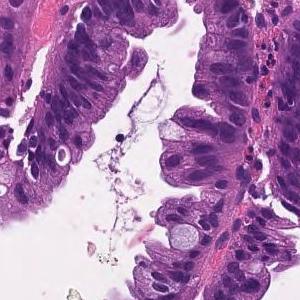
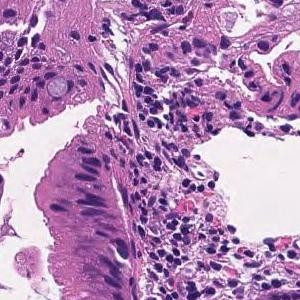
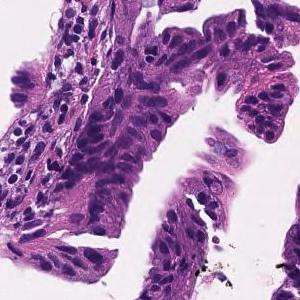
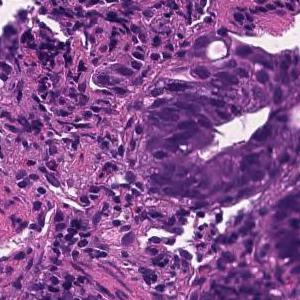
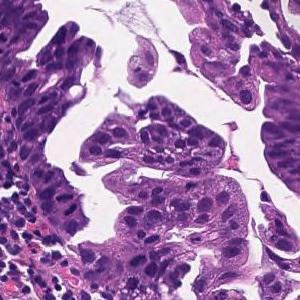
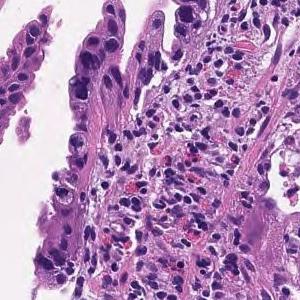
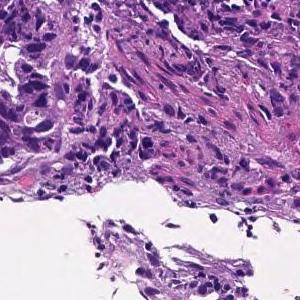
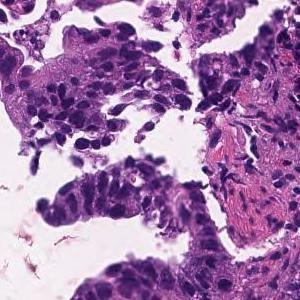
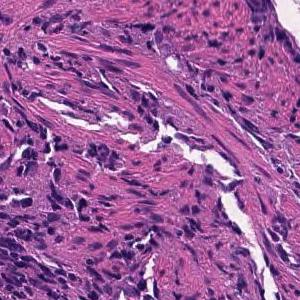
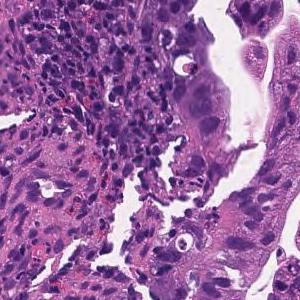
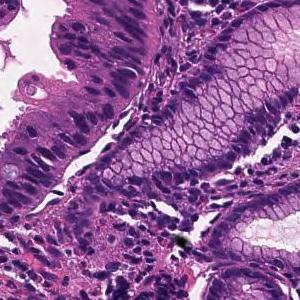
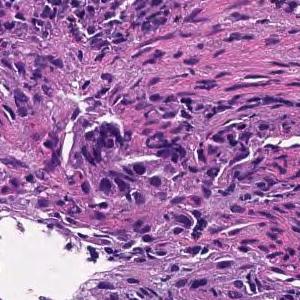
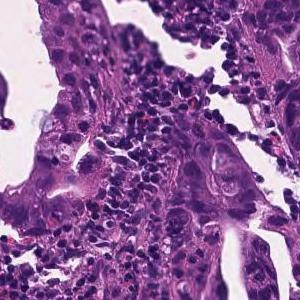
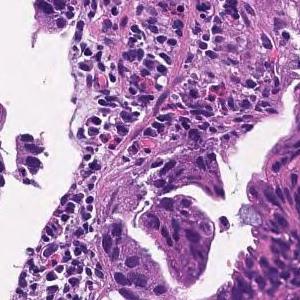
Scanned at ×20; hematoxylin and eosin stain; 14 tiles cut from one stomach biopsy slide.
Report on the slide these tiles come from. What the report and the diagnosis say applies to the whole slide; these tiles may miss some of the features named and may include tissue that is not tumor.
On the superficial epithelium, tumor tissue that infiltrates by forming medium-sized papillary or small irregular ducts is observed. Papillary adenocarcinoma
